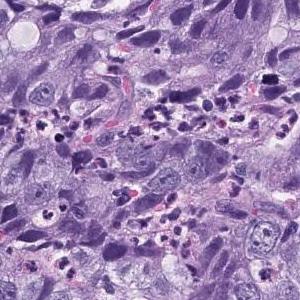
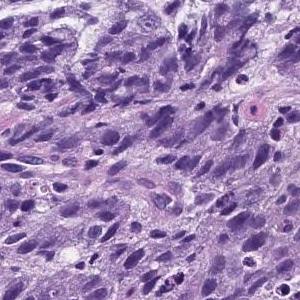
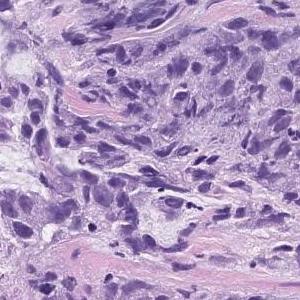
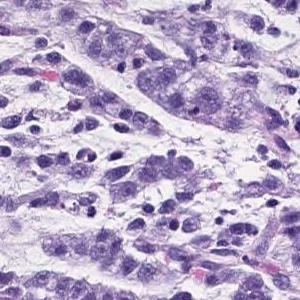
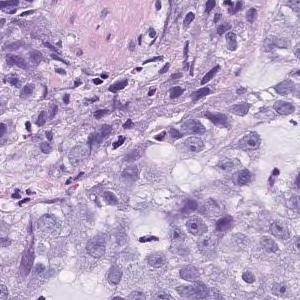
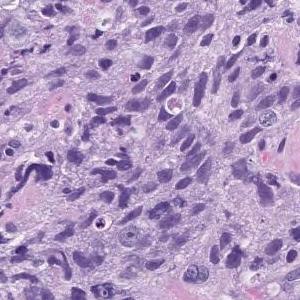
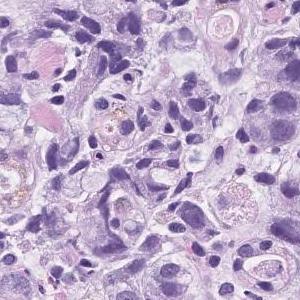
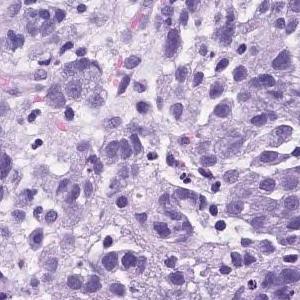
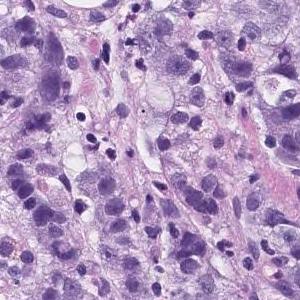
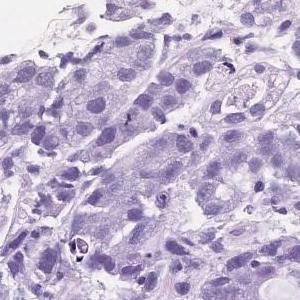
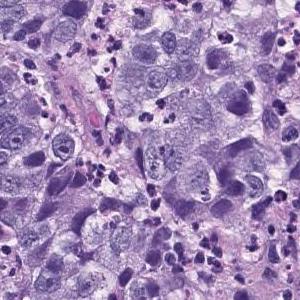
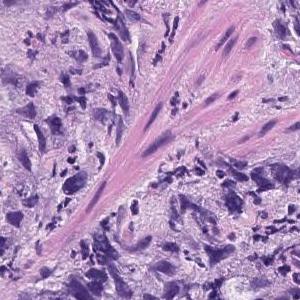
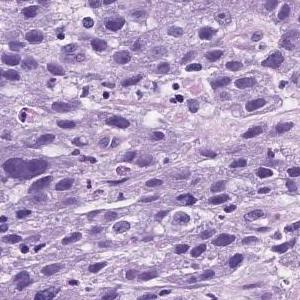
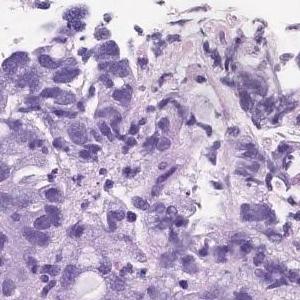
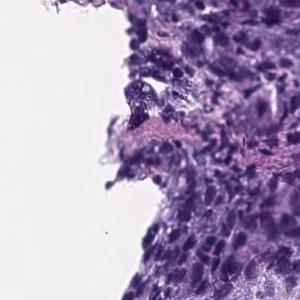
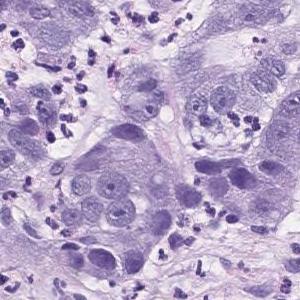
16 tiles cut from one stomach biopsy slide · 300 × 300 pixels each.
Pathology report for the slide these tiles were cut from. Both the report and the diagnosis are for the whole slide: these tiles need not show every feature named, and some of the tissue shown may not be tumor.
Atypical l cells with atypical nuclei forming solid vesicles or small irregular atypical ducts that proliferate in a complex manner. poorly differentiated adenocarcinoma, solid type, moderately differentiated tubular adenocarcinoma
The term "solid type" comes from the Japanese Classification of Gastric Carcinoma; the WHO 2019 equivalent is tubular adenocarcinoma, poorly differentiated.
